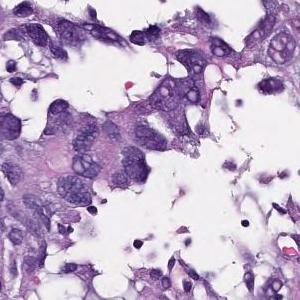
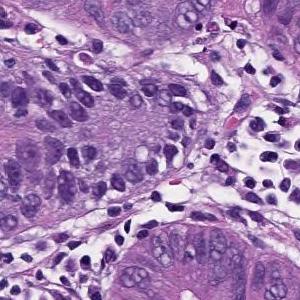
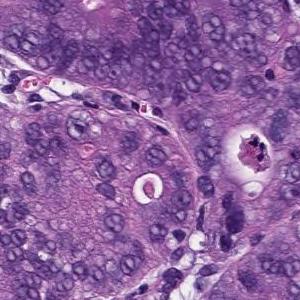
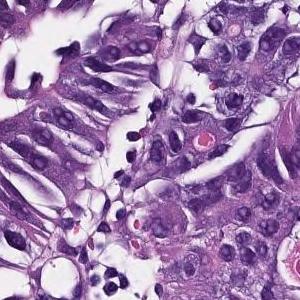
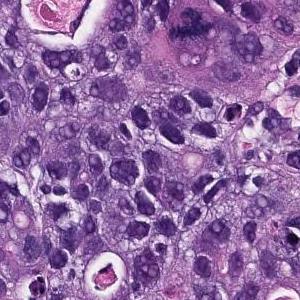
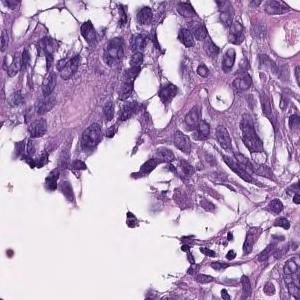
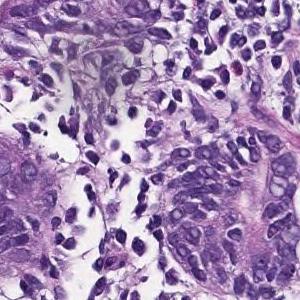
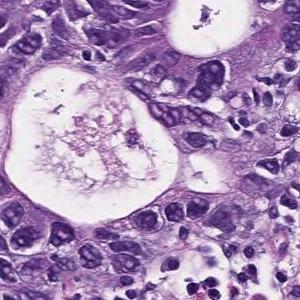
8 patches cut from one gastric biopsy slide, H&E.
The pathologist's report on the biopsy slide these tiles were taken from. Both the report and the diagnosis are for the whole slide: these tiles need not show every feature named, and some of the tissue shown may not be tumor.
In the superficial epithelium, tumor tissue that invades by forming medium-sized to small, irregular ducts is observed. moderately differentiated tubular adenocarcinoma.
